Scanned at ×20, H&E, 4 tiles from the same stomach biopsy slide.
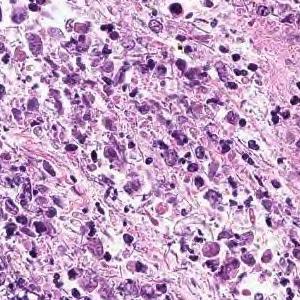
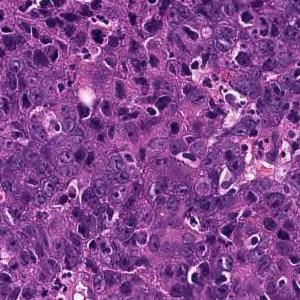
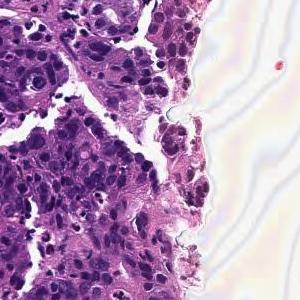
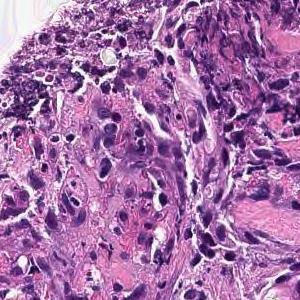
Report on the slide these tiles come from. The findings and the diagnosis refer to the entire slide; these tiles show only part of it, possibly with non-tumor tissue, and may not show every feature named.
Cancers with polygonal nuclei do not show glandular formation and are densely, in part, cord-like and proliferate. Poorly differentiated adenocarcinoma
Tumor subtype: poorly differentiated adenocarcinoma, non-solid type.
The non-solid type named here is a Japanese Classification of Gastric Carcinoma category.
